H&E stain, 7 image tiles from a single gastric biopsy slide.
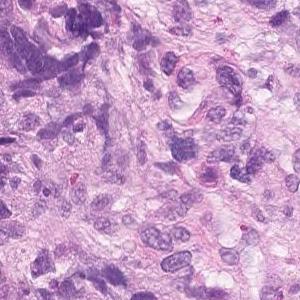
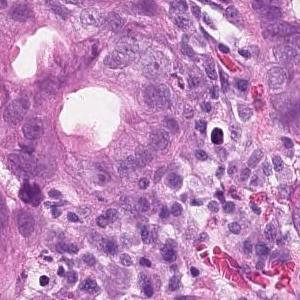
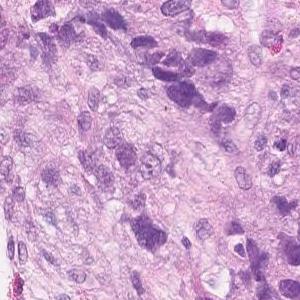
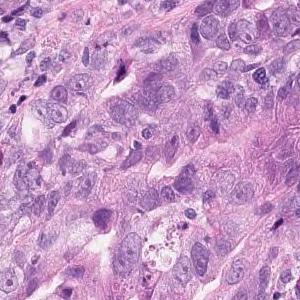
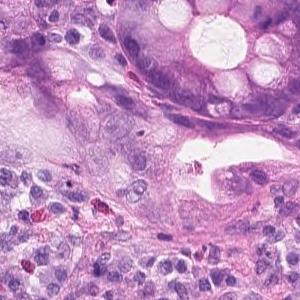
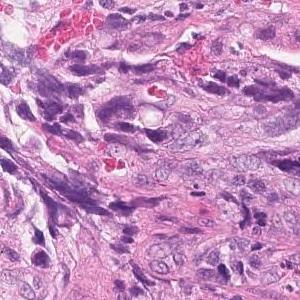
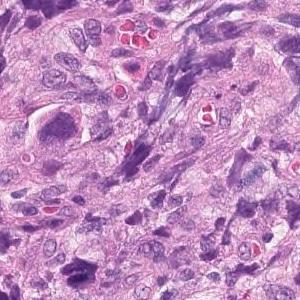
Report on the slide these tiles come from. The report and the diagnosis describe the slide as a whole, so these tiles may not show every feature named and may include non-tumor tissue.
Tumor tissue showing dense, fused or diffuse, and infiltrative growth of small atypical ducts is observed. moderately differentiated tubular adenocarcinoma
